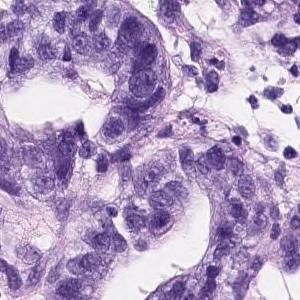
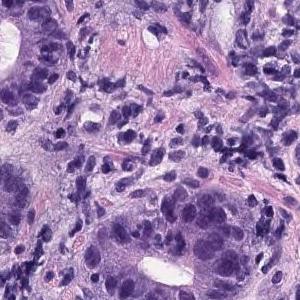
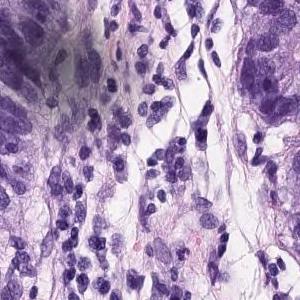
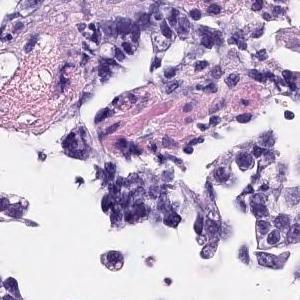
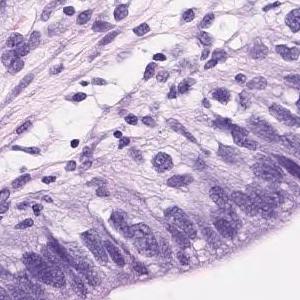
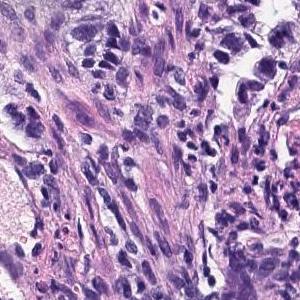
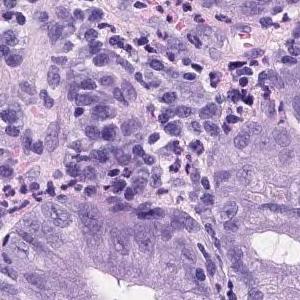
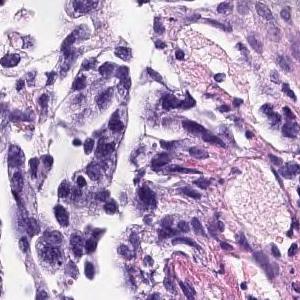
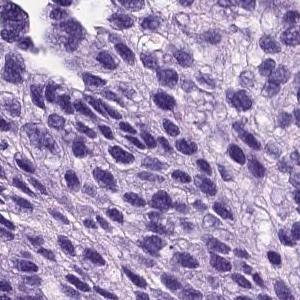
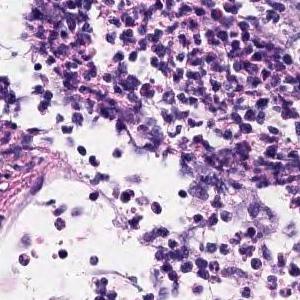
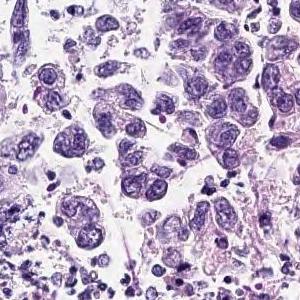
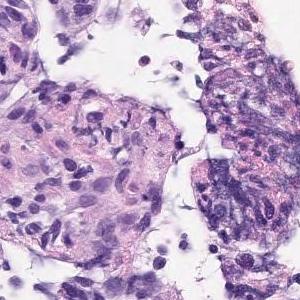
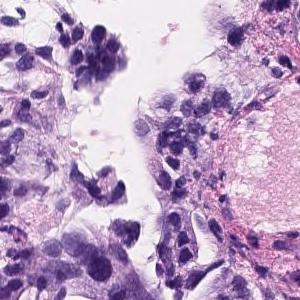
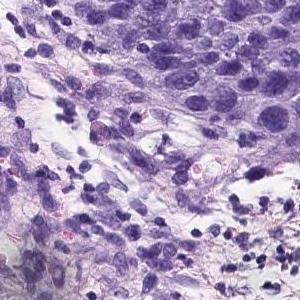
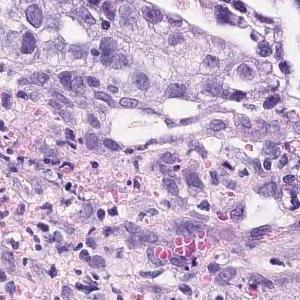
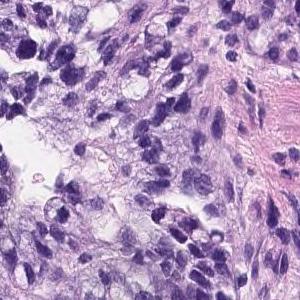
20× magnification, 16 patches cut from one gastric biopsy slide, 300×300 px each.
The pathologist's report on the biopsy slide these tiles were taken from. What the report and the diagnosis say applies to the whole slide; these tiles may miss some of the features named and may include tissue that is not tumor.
On the superficial epithelium, tumor tissue consisting of medium to small irregular tubules partially fused and proliferated is observed. moderately differentiated tubular adenocarcinoma
